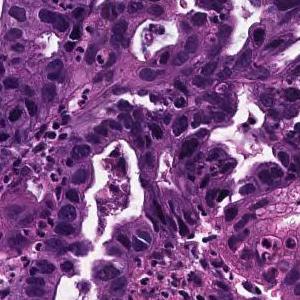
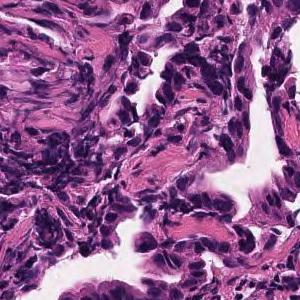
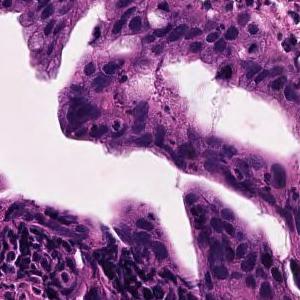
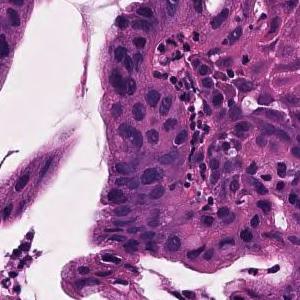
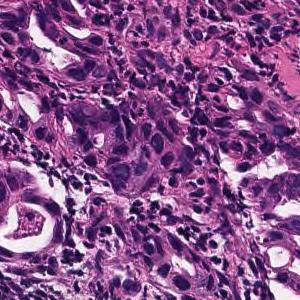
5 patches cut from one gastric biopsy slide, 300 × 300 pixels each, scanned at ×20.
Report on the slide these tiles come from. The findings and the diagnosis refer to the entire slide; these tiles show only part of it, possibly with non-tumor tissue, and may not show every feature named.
In the superficial epithelium, medium-sized to small irregular glandular ducts are formed, and in some cases, the glandular ducts are fused or small cord-like infiltrating tumor tissue is observed. moderately differentiated tubular adenocarcinoma
